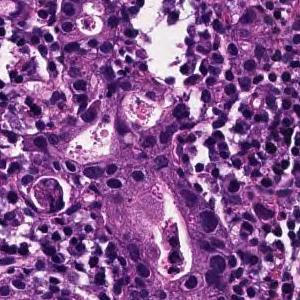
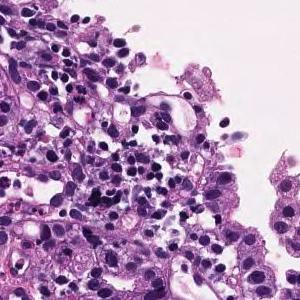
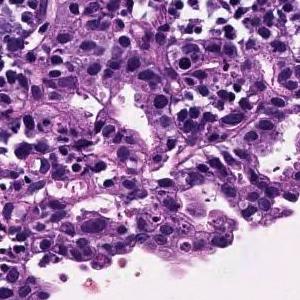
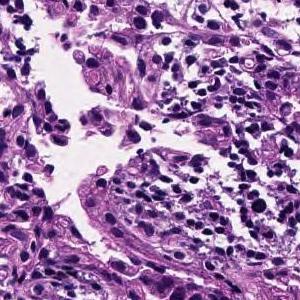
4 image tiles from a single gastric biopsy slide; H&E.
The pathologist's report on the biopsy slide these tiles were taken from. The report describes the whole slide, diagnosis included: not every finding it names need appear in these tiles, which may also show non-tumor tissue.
Medium to small, irregular glandular ducts are formed in the superficial epithelium, and in some cases, the glandular ducts are fused to show solid alveolar lesions and infiltrating tumor tissue is observed. Moderately to poorly differentiated adenocarcinoma.
